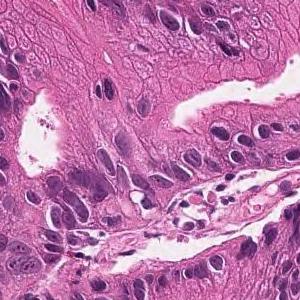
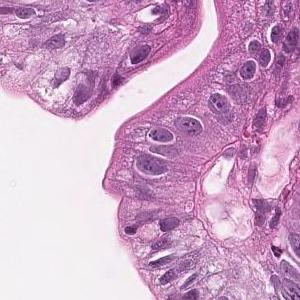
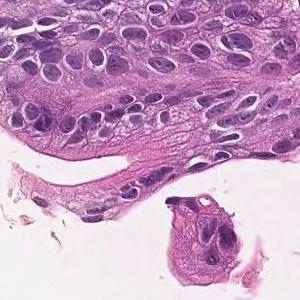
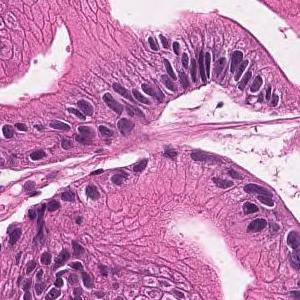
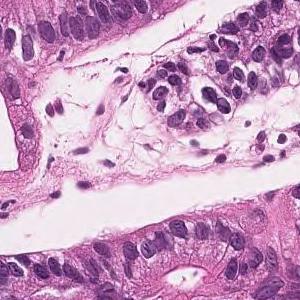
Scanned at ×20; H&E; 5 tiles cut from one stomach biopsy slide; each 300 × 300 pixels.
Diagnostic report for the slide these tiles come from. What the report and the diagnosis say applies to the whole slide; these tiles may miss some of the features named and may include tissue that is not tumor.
On the superficial epithelium, tumor tissue that infiltrates by forming medium-sized papillary or small irregular ducts is observed. Papillary adenocarcinoma
